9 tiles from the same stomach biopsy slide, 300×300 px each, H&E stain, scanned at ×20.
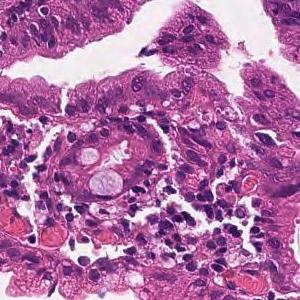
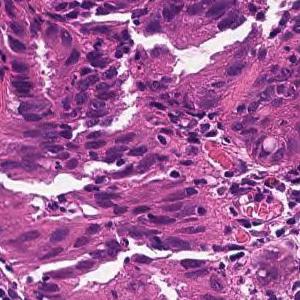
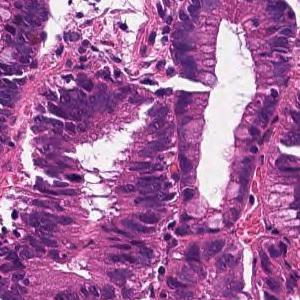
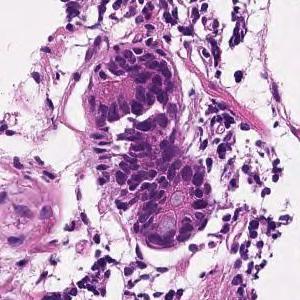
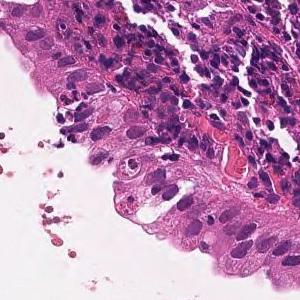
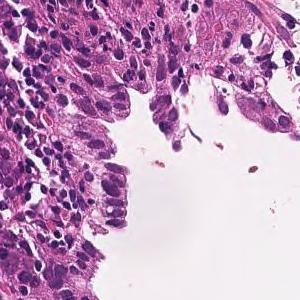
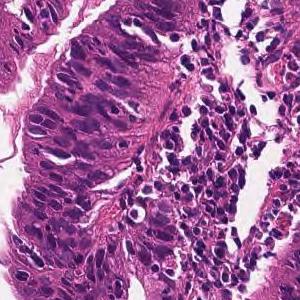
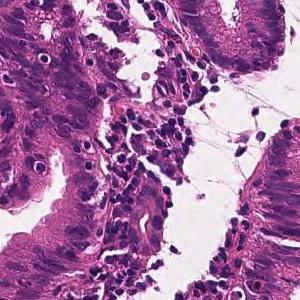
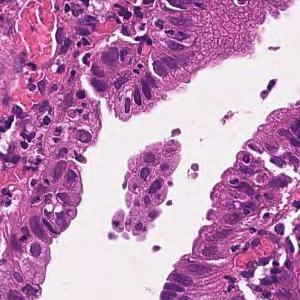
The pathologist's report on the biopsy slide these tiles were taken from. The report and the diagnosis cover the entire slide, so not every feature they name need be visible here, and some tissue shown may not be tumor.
From the superficial epithelium to the muscularis mucosae, tumor tissue infiltrating by forming medium-sized irregular gland ducts is observed. Large tumor cells exhibit large nucleus and hyperchromatism. Well differentiated tubular adenocarcinoma
